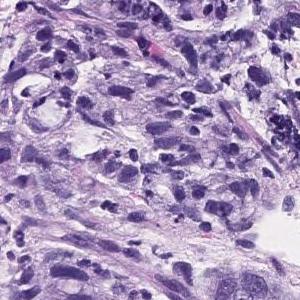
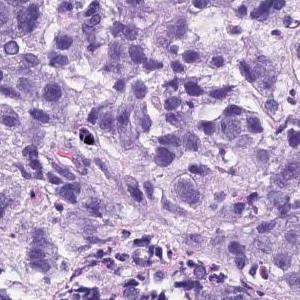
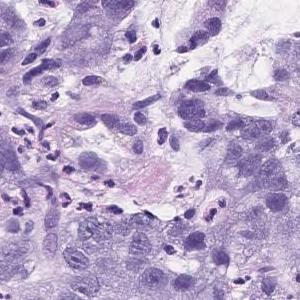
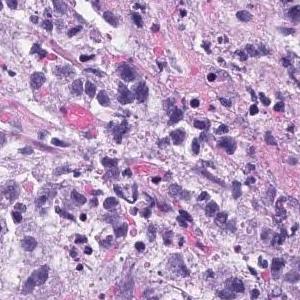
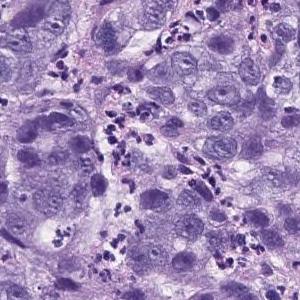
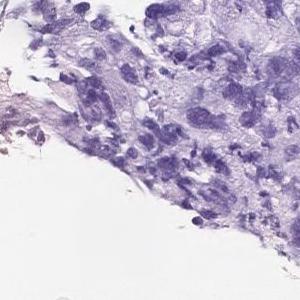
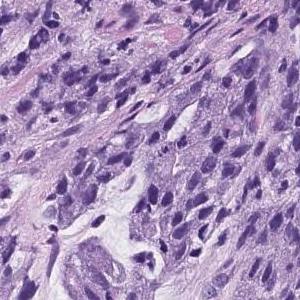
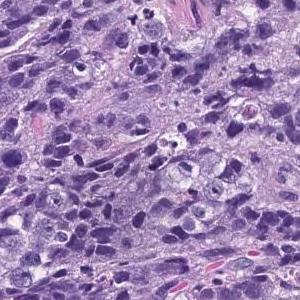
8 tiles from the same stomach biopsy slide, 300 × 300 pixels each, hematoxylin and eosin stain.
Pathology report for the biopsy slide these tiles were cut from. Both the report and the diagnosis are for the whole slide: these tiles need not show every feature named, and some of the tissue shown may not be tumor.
Atypical l cells with atypical nuclei forming solid vesicles or small irregular atypical ducts that proliferate in a complex manner. poorly differentiated adenocarcinoma, solid type, moderately differentiated tubular adenocarcinoma
The solid type named here is a Japanese Classification of Gastric Carcinoma category; WHO 2019 calls it tubular adenocarcinoma, poorly differentiated.
